13 tiles from the same stomach biopsy slide, H&E stain, scanned at ×20.
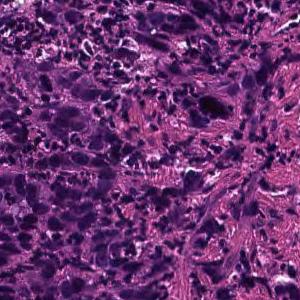
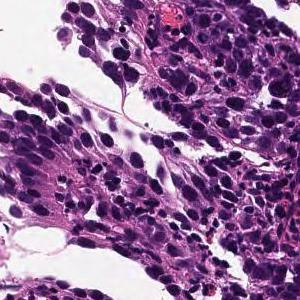
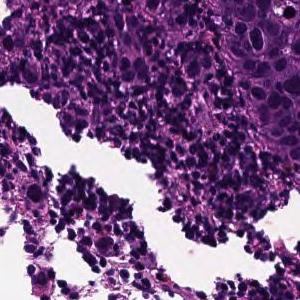
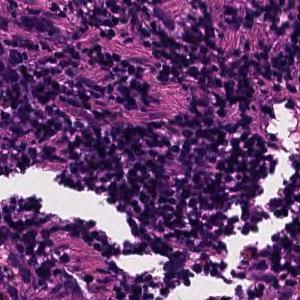
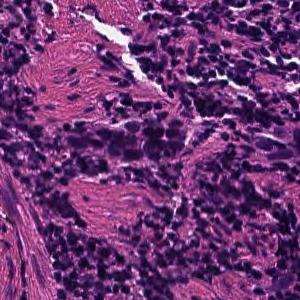
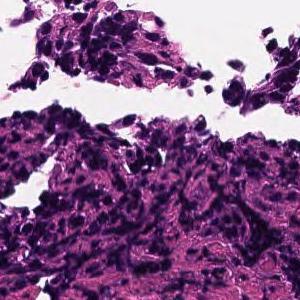
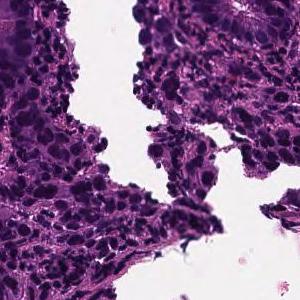
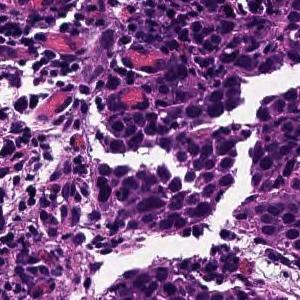
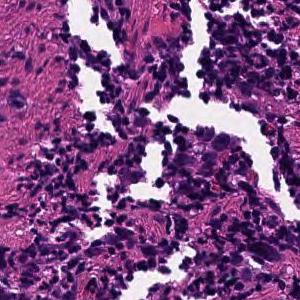
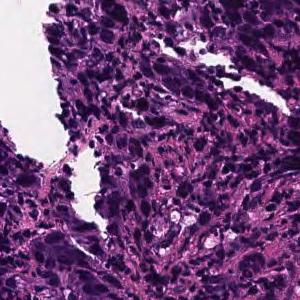
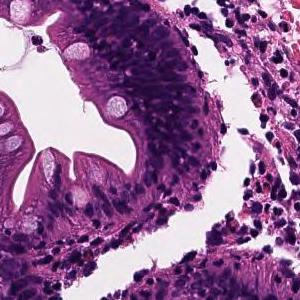
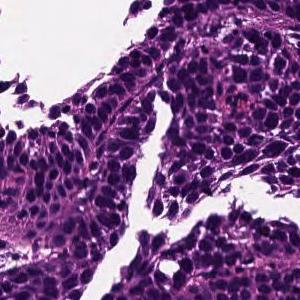
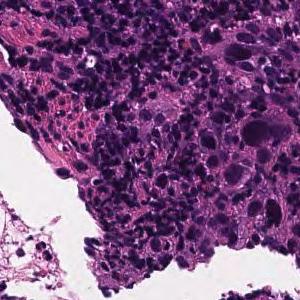
The pathologist's report on the biopsy slide these tiles were taken from. The report and the diagnosis describe the slide as a whole, so these tiles may not show every feature named and may include non-tumor tissue.
Tumor tissue consisting of cord-like or small, irregular glandular ducts fused and infiltrated is observed in the superficial epithelium. Poorly differentiated adenocarcinoma, non-solid type
"Non-solid type" is a category of the Japanese Classification of Gastric Carcinoma.
